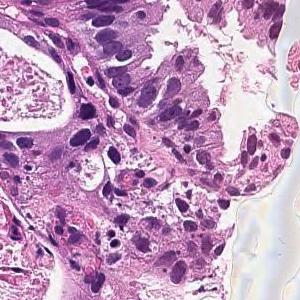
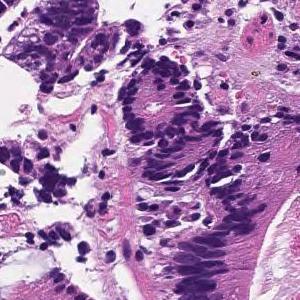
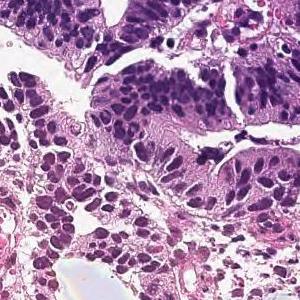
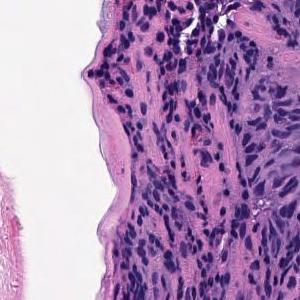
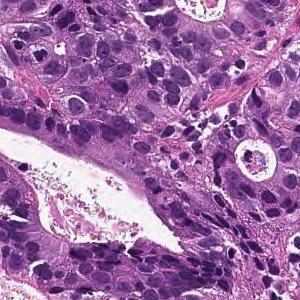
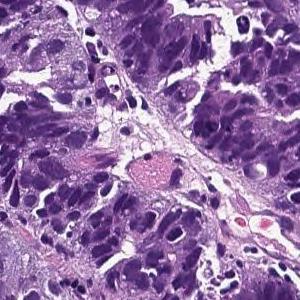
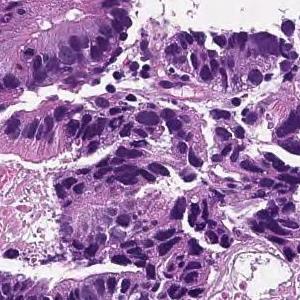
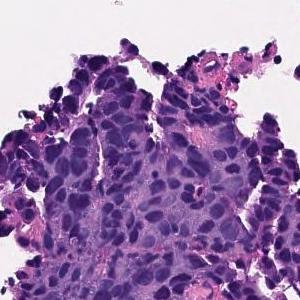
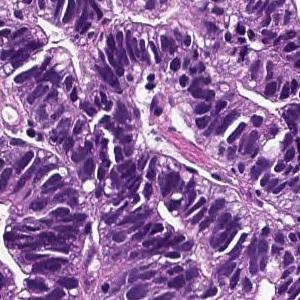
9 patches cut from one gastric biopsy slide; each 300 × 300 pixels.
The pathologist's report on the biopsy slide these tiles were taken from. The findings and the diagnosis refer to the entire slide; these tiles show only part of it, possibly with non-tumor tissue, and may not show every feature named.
In the superficial epithelium, tumor tissue that invades by forming medium-sized to small, irregular ducts is observed. moderately differentiated tubular adenocarcinoma.
